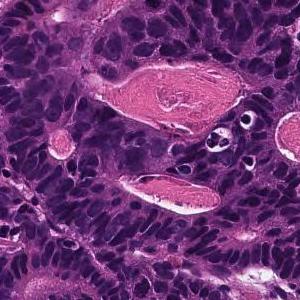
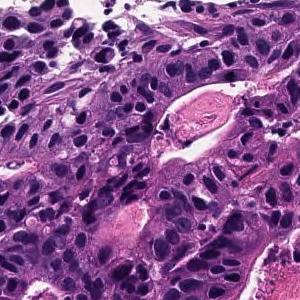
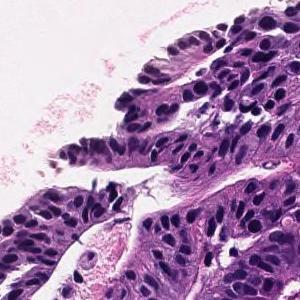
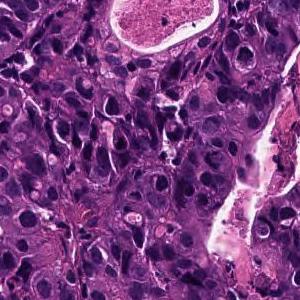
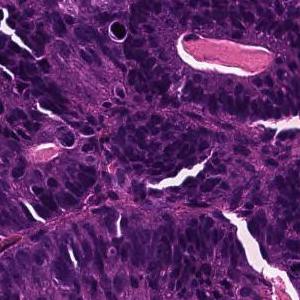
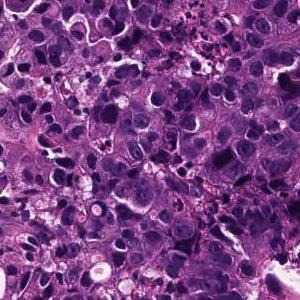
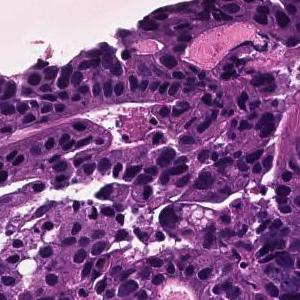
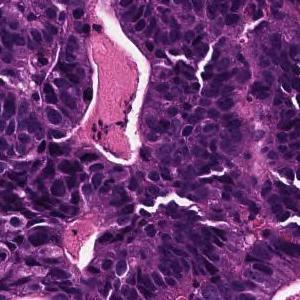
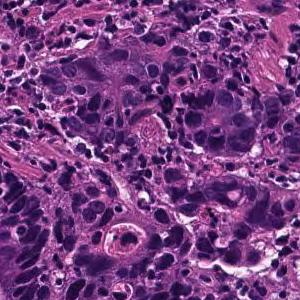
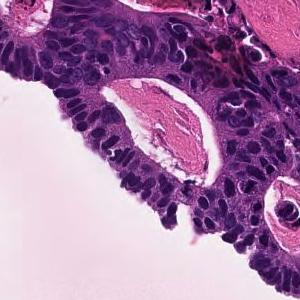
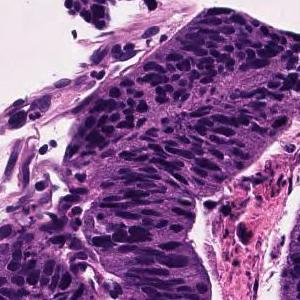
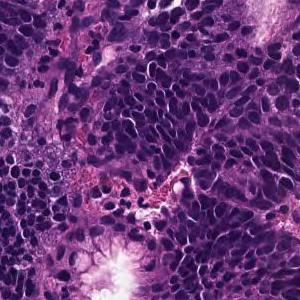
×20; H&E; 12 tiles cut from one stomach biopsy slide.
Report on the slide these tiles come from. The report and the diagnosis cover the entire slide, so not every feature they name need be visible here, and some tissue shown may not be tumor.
In the superficial epithelium, tumor tissue that invades by forming medium-sized to small, irregular ducts is observed. moderately differentiated tubular adenocarcinoma.
